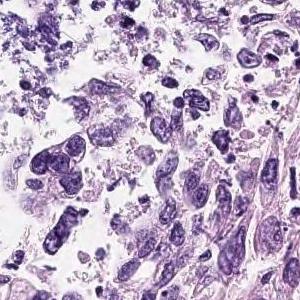
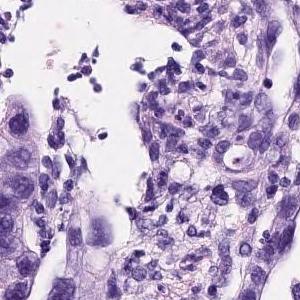
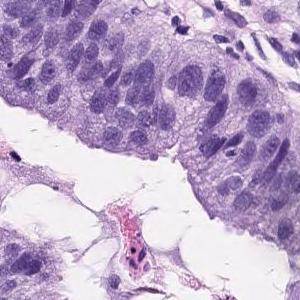
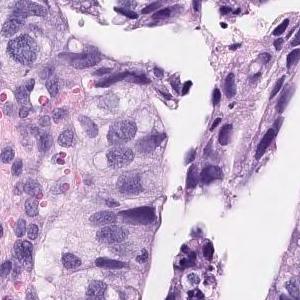
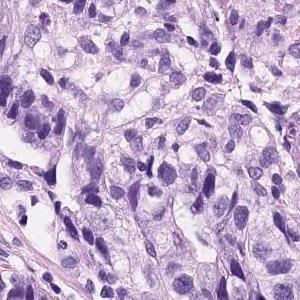
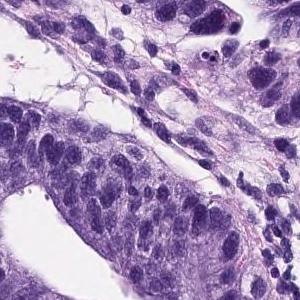
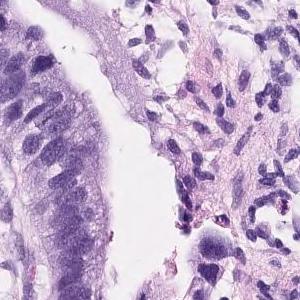
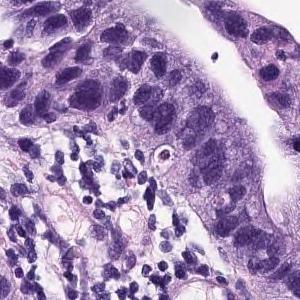
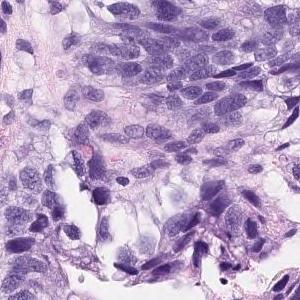
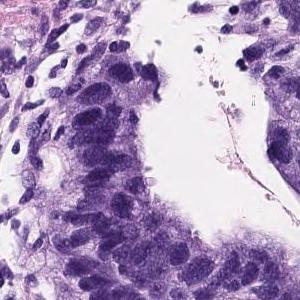
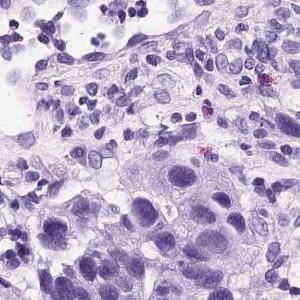
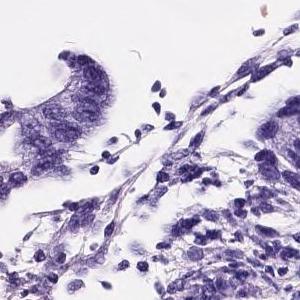
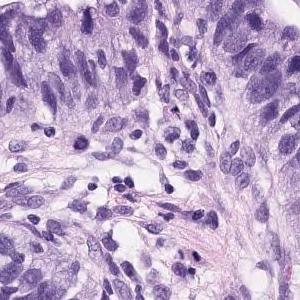
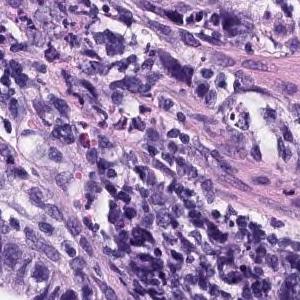
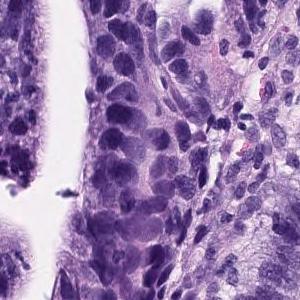
15 patches cut from one gastric biopsy slide, 300×300 px each, hematoxylin and eosin stain.
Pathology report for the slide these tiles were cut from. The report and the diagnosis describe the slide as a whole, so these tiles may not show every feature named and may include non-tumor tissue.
On the superficial epithelium, tumor tissue consisting of medium to small irregular tubules partially fused and proliferated is observed. moderately differentiated tubular adenocarcinoma
